15 patches cut from one gastric biopsy slide · each 300 × 300 pixels · hematoxylin and eosin stain.
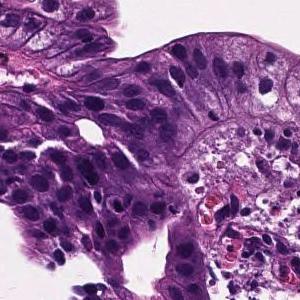
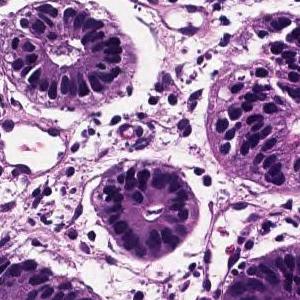
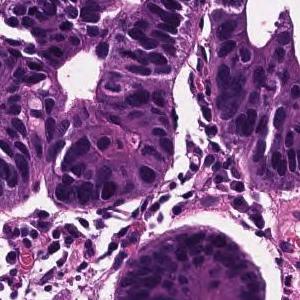
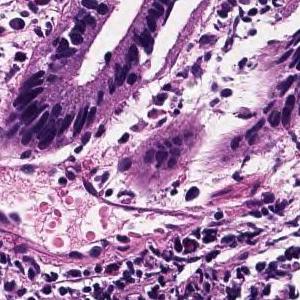
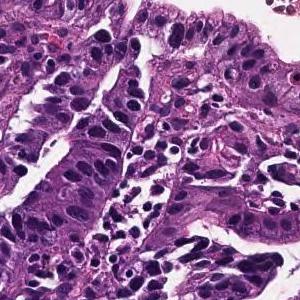
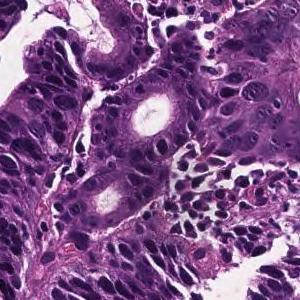
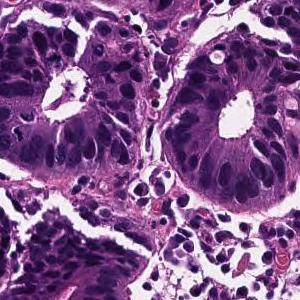
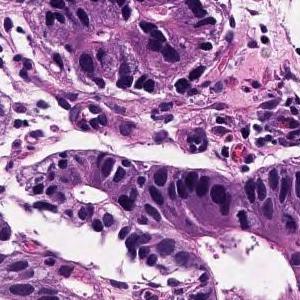
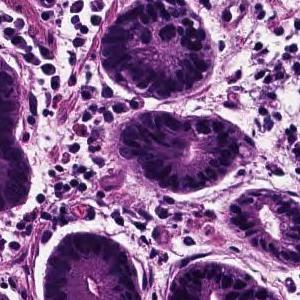
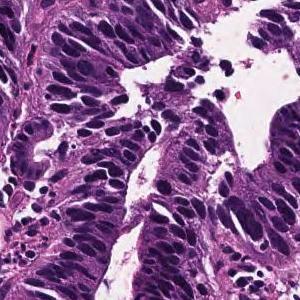
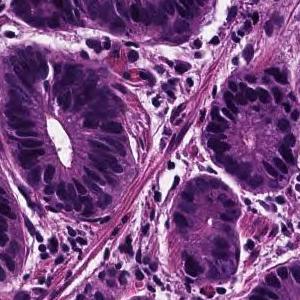
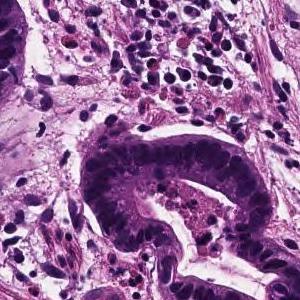
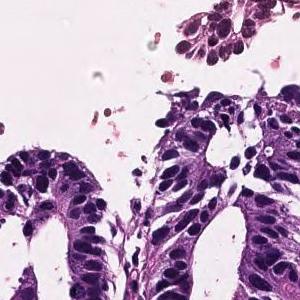
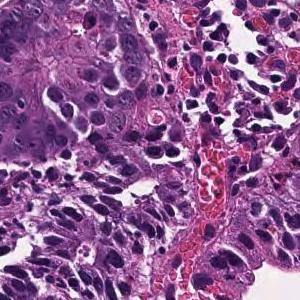
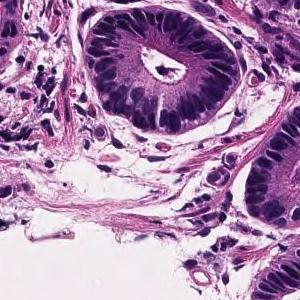
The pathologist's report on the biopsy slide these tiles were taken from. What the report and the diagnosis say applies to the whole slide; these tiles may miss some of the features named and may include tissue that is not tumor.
From the superficial epithelium to the muscularis mucosae, tumor tissue consisting of medium-sized and irregular glandular ducts infiltrating is observed. Well differentiated tubular adenocarcinoma
